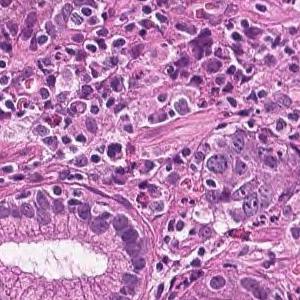
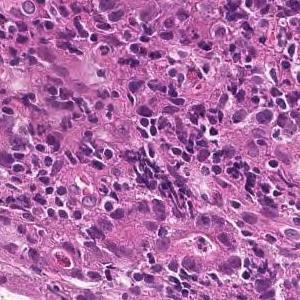
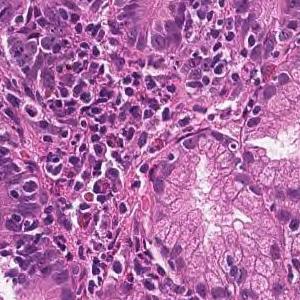
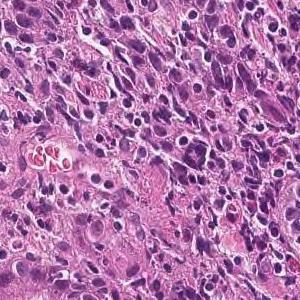
Scanned at ×20, H&E stain, 4 tiles from the same stomach biopsy slide.
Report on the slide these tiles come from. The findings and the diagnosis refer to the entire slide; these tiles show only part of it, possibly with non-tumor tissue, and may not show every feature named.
Tumor tissue consisting of medium-sized, cord-like or irregular glandular infiltration is observed in the superficial epithelium. Poorly differentiated adenocarcinoma, non-solid type or moderately differentiated tubular adenocarcinoma
The dataset labels this slide poorly differentiated adenocarcinoma, non-solid type.
"Non-solid type" is a category of the Japanese Classification of Gastric Carcinoma.
